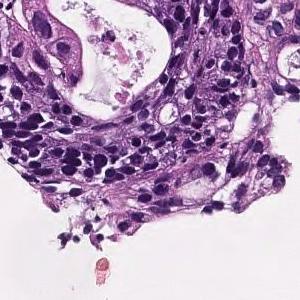
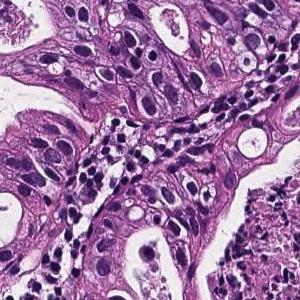
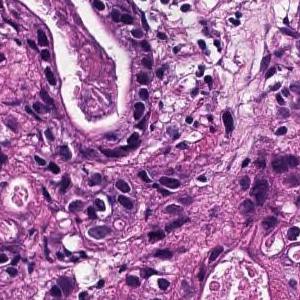
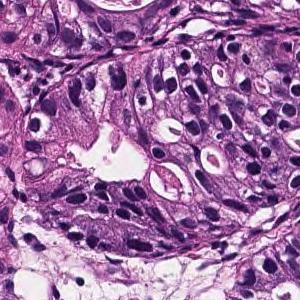
4 image tiles from a single gastric biopsy slide; ×20; H&E stain.
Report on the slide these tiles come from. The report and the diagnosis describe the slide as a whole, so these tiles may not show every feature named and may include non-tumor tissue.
From the superficial epithelium to the muscularis mucosae, tumor tissue infiltrating by forming medium-sized irregular gland ducts is observed. Large tumor cells exhibit large nucleus and hyperchromatism. Well differentiated tubular adenocarcinoma
